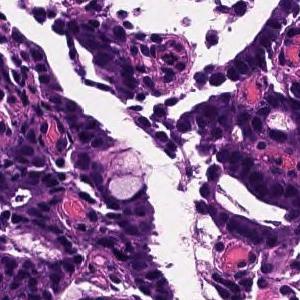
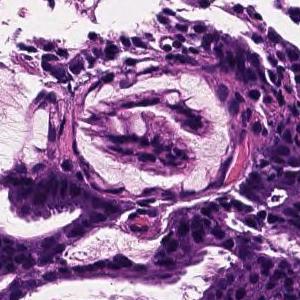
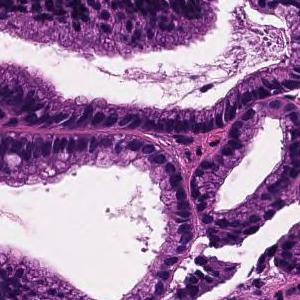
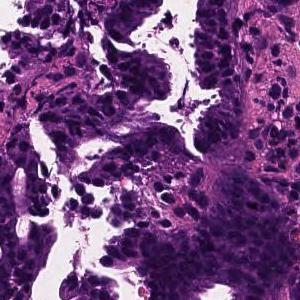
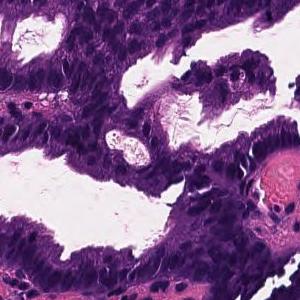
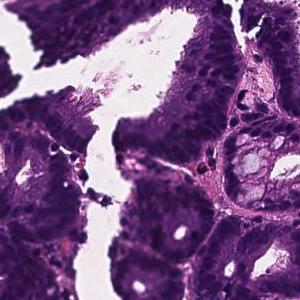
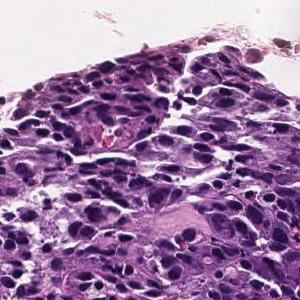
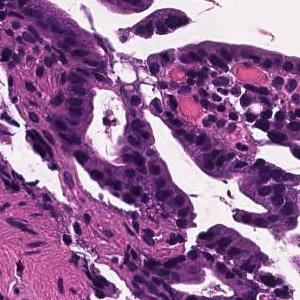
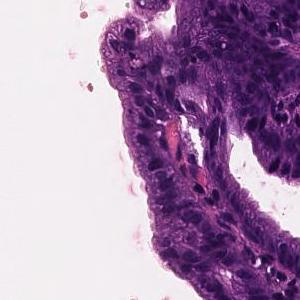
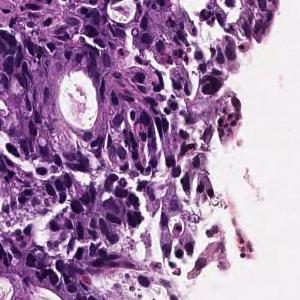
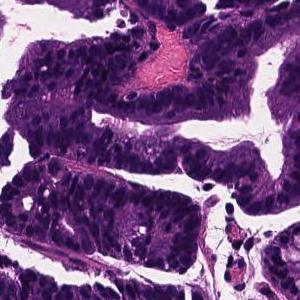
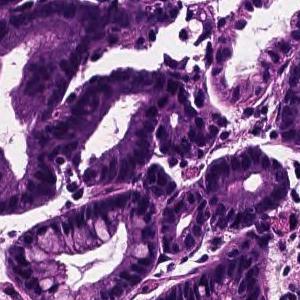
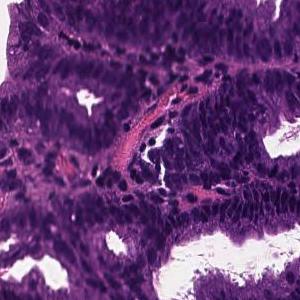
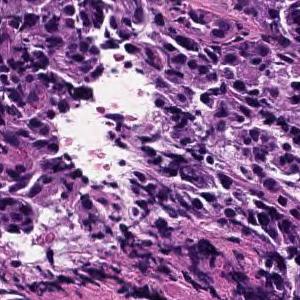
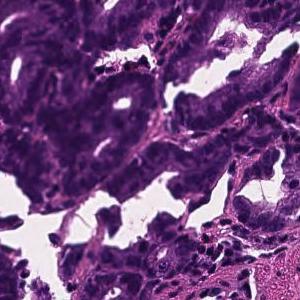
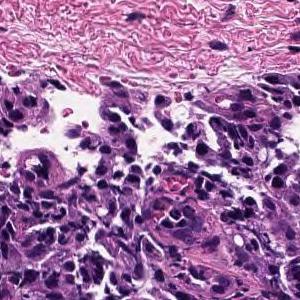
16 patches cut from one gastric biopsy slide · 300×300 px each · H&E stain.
Pathology report for the slide these tiles were cut from. The report describes the whole slide, diagnosis included: not every finding it names need appear in these tiles, which may also show non-tumor tissue.
In the superficial epithelium, tumor tissue that invades by forming medium-sized to small, irregular ducts is observed. moderately differentiated tubular adenocarcinoma.
